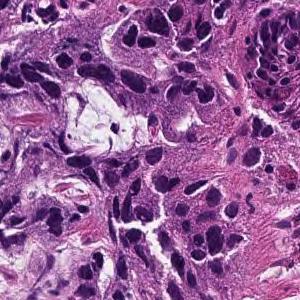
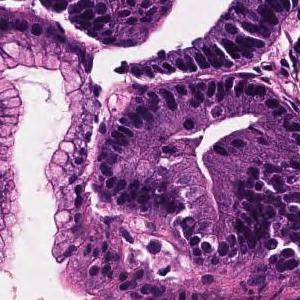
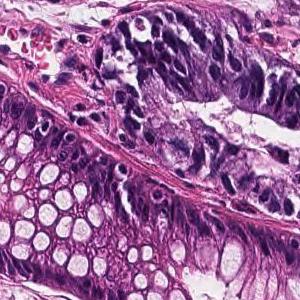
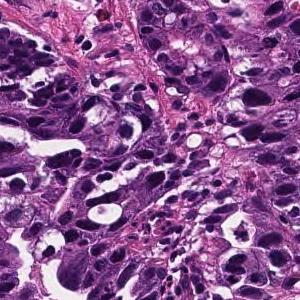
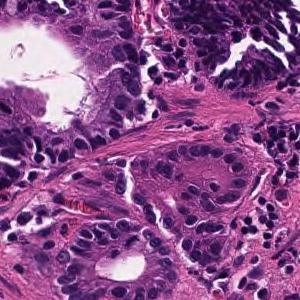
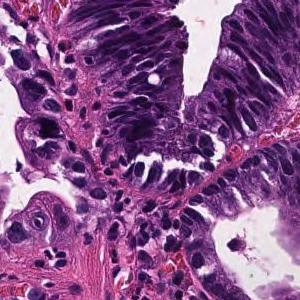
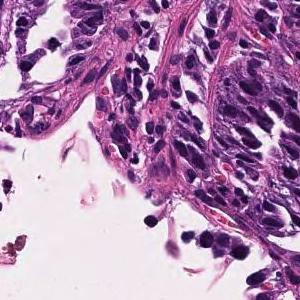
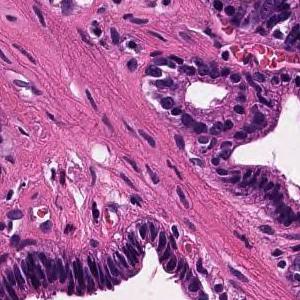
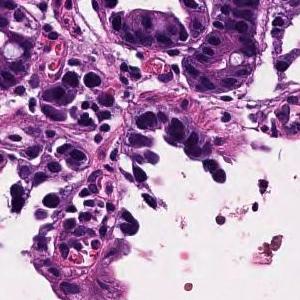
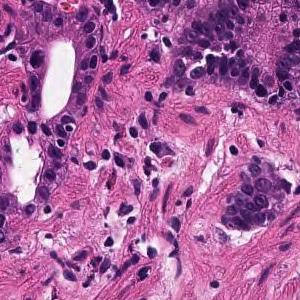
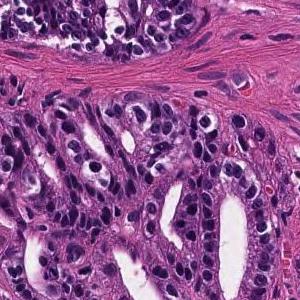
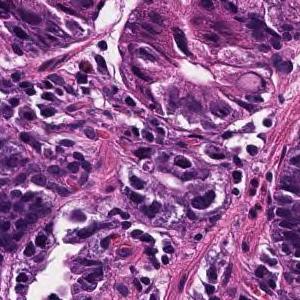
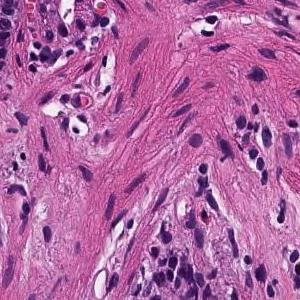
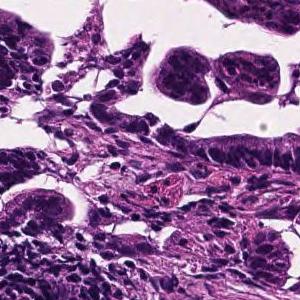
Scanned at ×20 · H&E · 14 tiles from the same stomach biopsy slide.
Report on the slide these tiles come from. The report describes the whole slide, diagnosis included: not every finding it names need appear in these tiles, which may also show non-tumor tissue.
Tumor cells are large, highly columnar, large club-shaped nuclei, and are associated with chromatin aggregation. Papillary adenocarcinoma.
